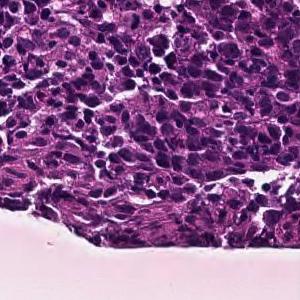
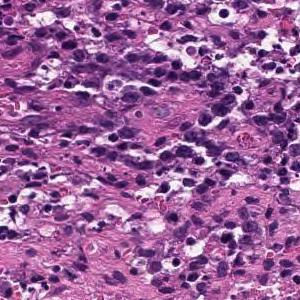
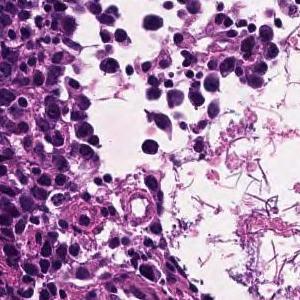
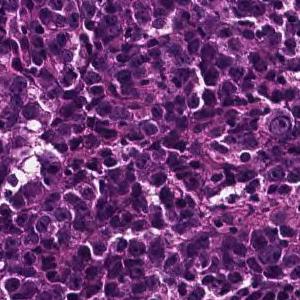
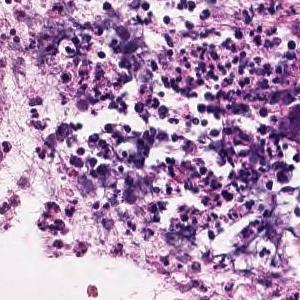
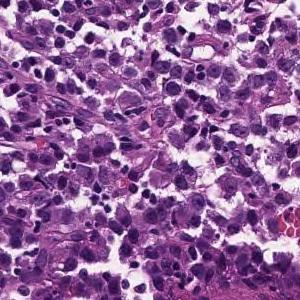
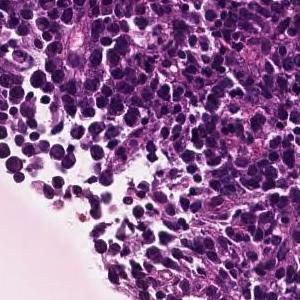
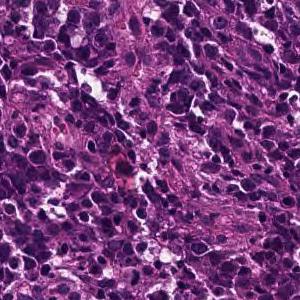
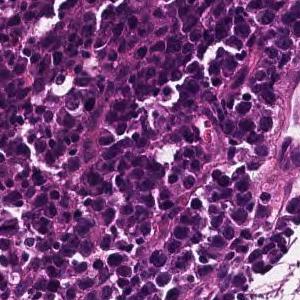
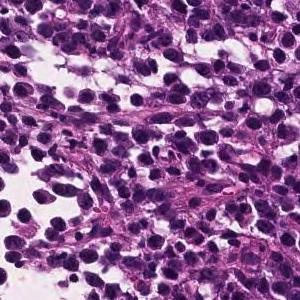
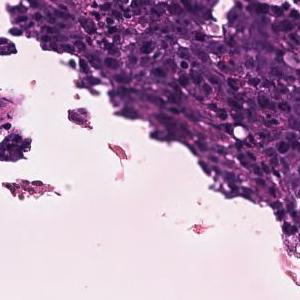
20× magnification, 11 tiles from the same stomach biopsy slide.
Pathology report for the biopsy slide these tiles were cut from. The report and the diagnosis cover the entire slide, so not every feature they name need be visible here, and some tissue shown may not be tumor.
The superficial epithelium shows a large sheet-like shape, and some tumor tissue infiltrates with small irregular ducts. Poorly differentiated adenocarcinoma, solid-type
Tumor subtype: poorly differentiated adenocarcinoma, solid type. This name comes from the Japanese Classification of Gastric Carcinoma; the WHO 2019 classification calls it tubular adenocarcinoma, poorly differentiated.
